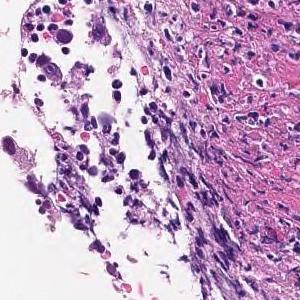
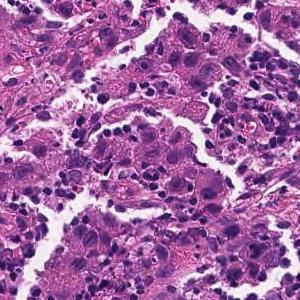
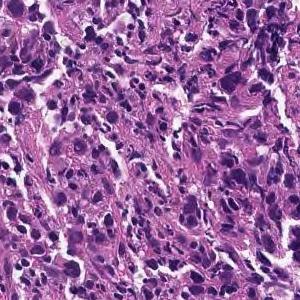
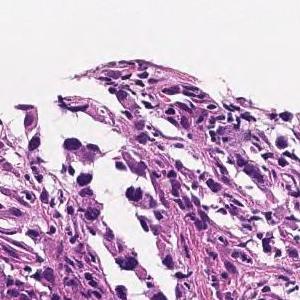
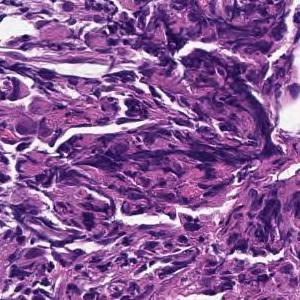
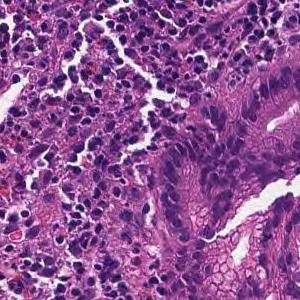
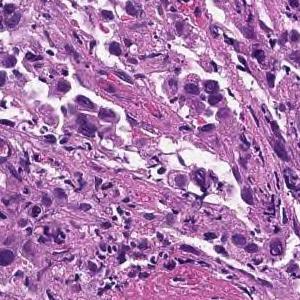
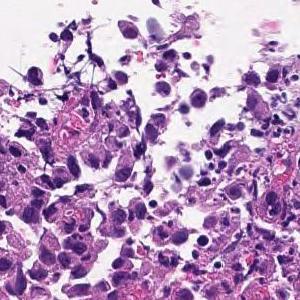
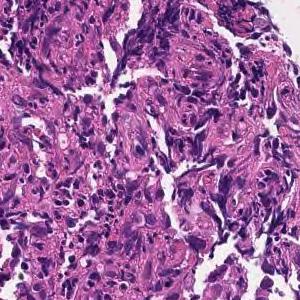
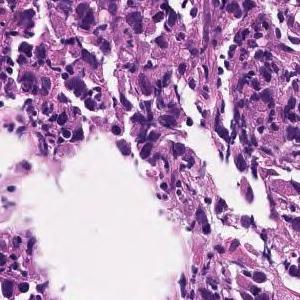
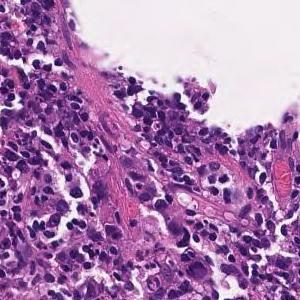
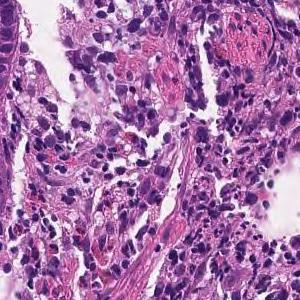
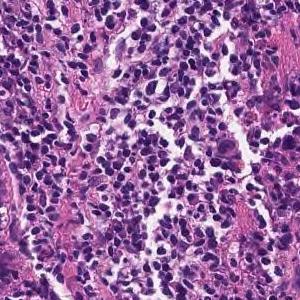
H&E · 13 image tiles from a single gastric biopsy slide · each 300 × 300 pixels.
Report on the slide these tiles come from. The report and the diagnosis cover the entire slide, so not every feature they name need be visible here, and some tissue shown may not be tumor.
The superficial epithelium shows a large sheet-like shape, and some tumor tissue infiltrates with small irregular ducts. Poorly differentiated adenocarcinoma, solid-type (poorly differentiated adenocarcinoma, solid type)
Tumor subtype: poorly differentiated adenocarcinoma, solid type, a category of the Japanese Classification of Gastric Carcinoma; in the WHO 2019 classification it is tubular adenocarcinoma, poorly differentiated.
